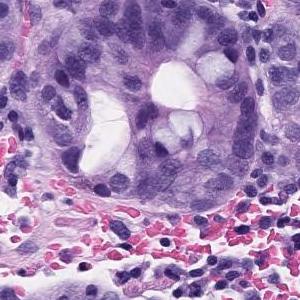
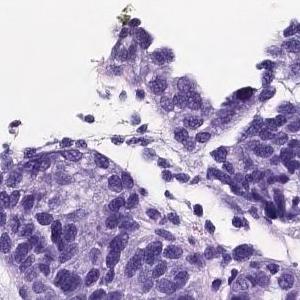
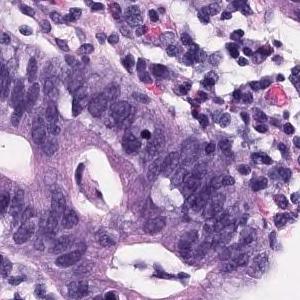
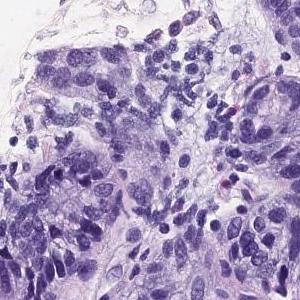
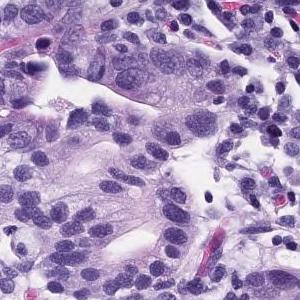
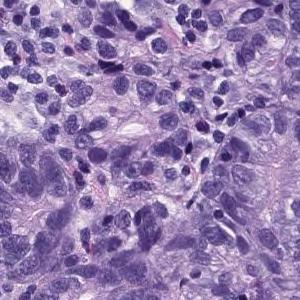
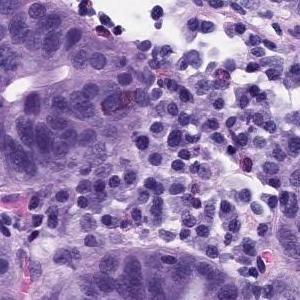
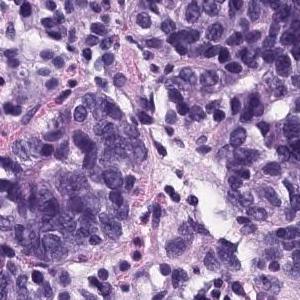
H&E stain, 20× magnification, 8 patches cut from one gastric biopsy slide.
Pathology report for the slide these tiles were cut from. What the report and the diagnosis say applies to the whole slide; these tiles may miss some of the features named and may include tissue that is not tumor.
In the superficial epithelium, tumor tissue that invades by forming medium-sized to small, irregular ducts is observed. Moderately differentiated adenocarcinoma.
Histologic type: Moderately differentiated tubular adenocarcinoma.
